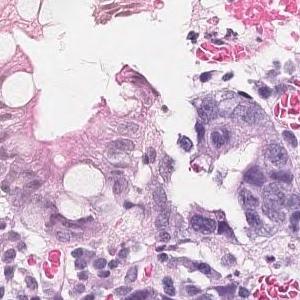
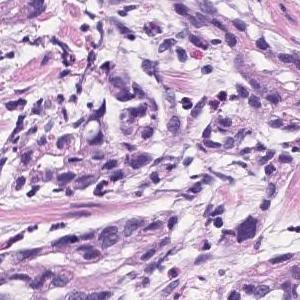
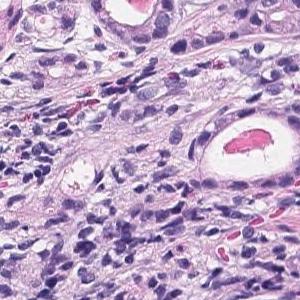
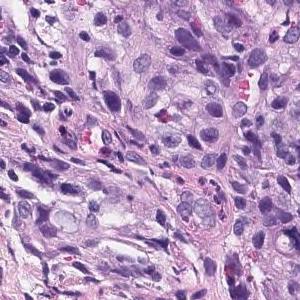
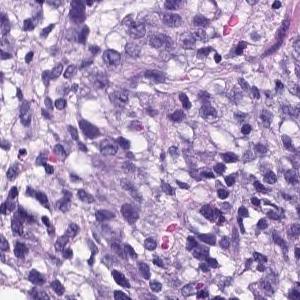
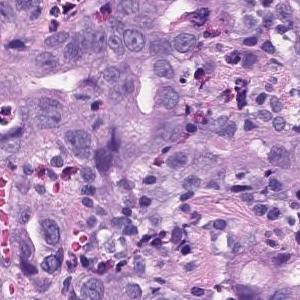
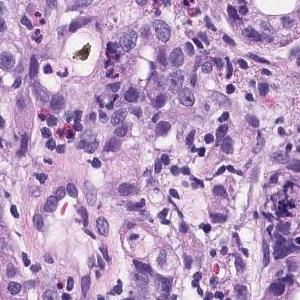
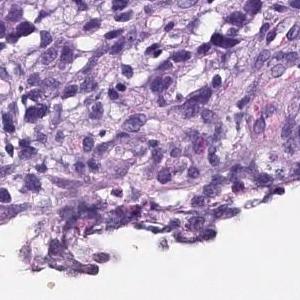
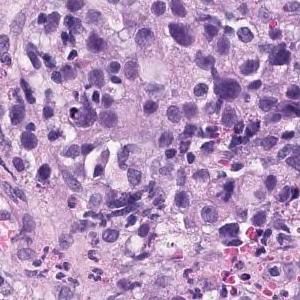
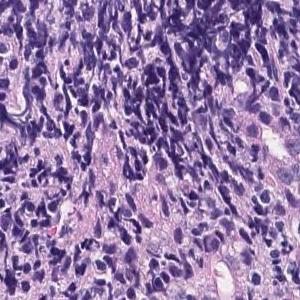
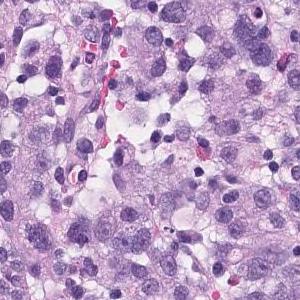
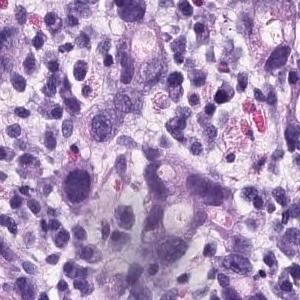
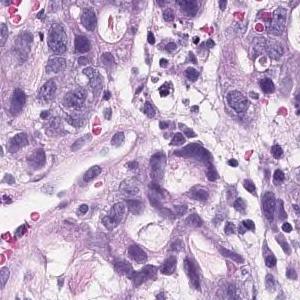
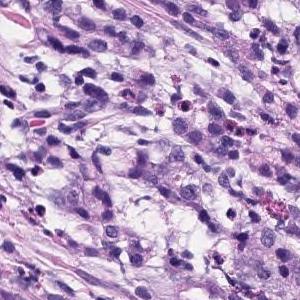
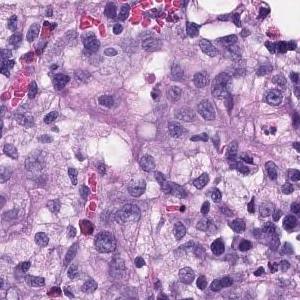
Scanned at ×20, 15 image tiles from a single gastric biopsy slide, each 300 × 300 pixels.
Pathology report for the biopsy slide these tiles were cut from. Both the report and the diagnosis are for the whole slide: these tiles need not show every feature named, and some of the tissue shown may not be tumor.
There are atypical l cells with atypical nuclei forming cord-like or irregular atypical ducts from solidity and proliferating in a comprehensive manner. Poorly differentiated adenocarcinoma, Moderately differentiated adenocarcinoma (poorly differentiated adenocarcinoma, solid type moderately differentiated tubular adenocarcinoma)
Subtype: Moderately to poorly differentiated adenocarcinoma.
"Solid type" is a category of the Japanese Classification of Gastric Carcinoma; in the WHO 2019 classification it is tubular adenocarcinoma, poorly differentiated.
